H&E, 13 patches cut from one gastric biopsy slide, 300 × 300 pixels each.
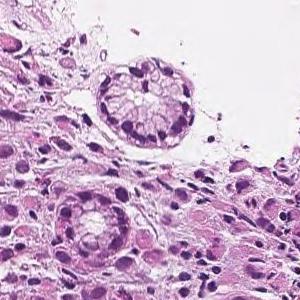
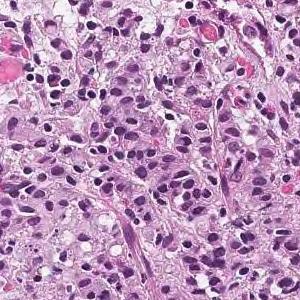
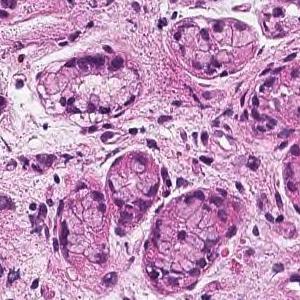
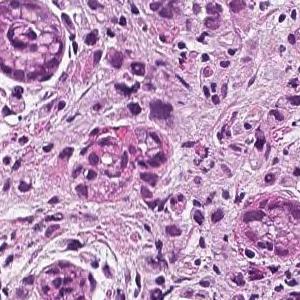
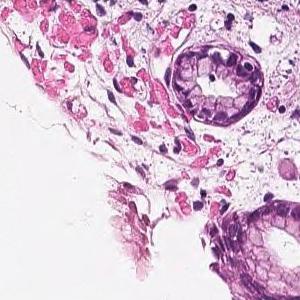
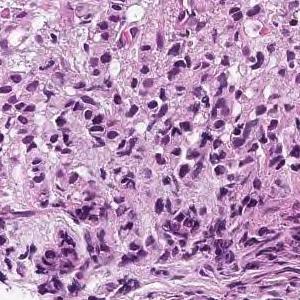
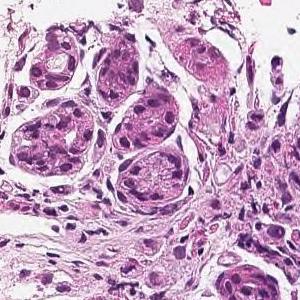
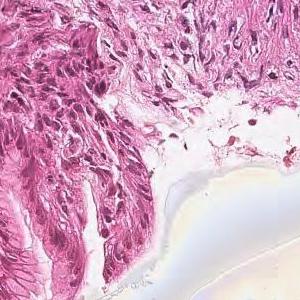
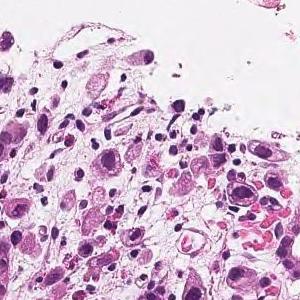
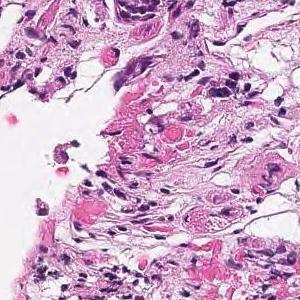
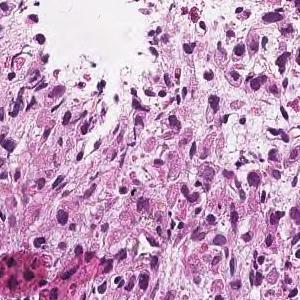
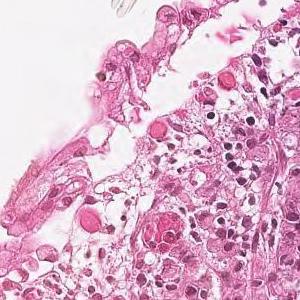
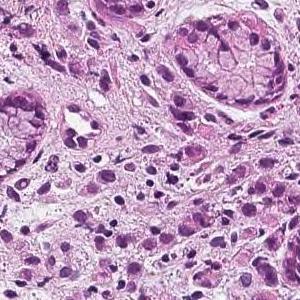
The pathologist's report on the biopsy slide these tiles were taken from. The report and the diagnosis cover the entire slide, so not every feature they name need be visible here, and some tissue shown may not be tumor.
Tumor tissue consisting of cord-like or small, irregular glandular ducts fused and infiltrated is observed in the superficial epithelium. Poorly differentiated adenocarcinoma, non-solid type
The term "non-solid type" comes from the Japanese Classification of Gastric Carcinoma.
